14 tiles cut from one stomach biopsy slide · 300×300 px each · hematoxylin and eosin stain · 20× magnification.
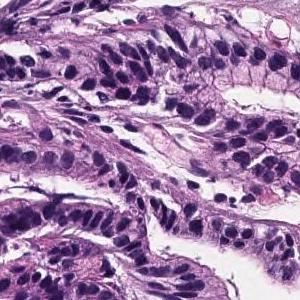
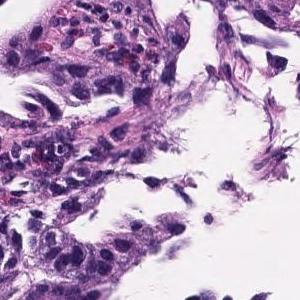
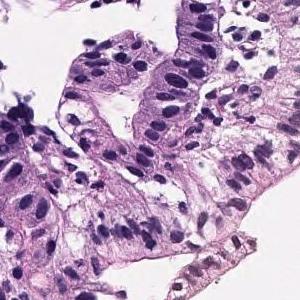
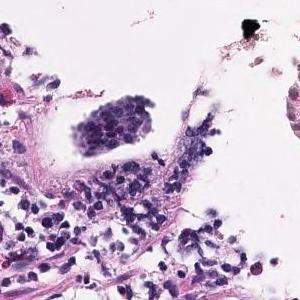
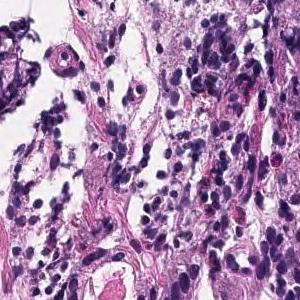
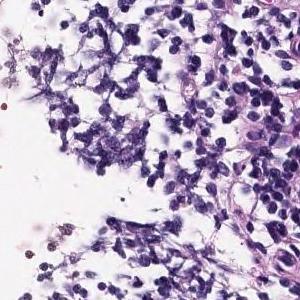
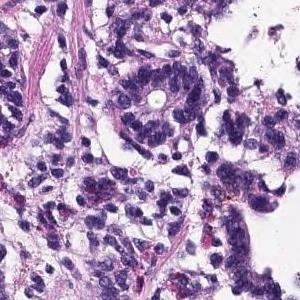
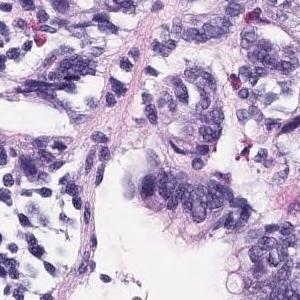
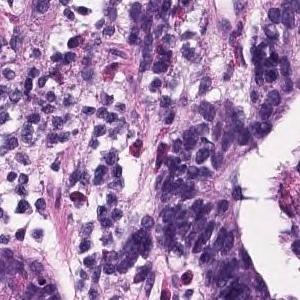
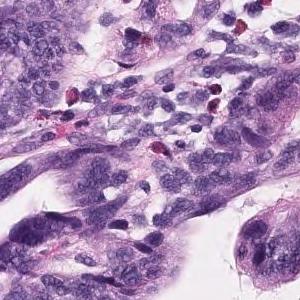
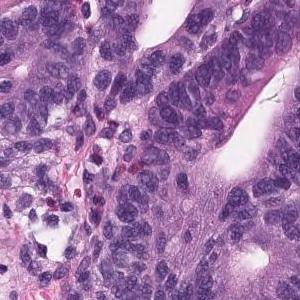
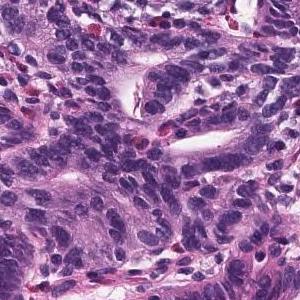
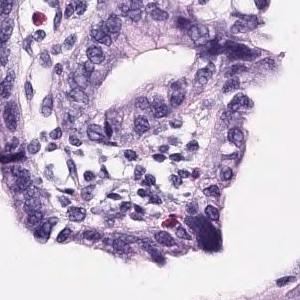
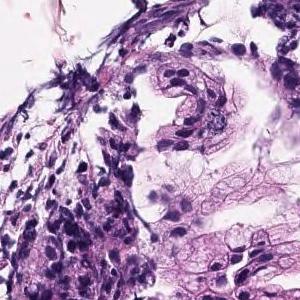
Diagnostic report for the slide these tiles come from. The report describes the whole slide, diagnosis included: not every finding it names need appear in these tiles, which may also show non-tumor tissue.
Tumor cells are large, highly columnar, large club-shaped nuclei, and are associated with chromatin aggregation. Papillary adenocarcinoma.
